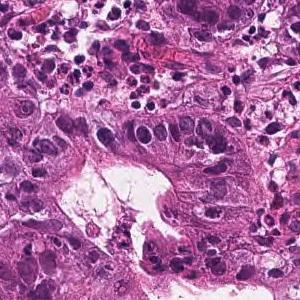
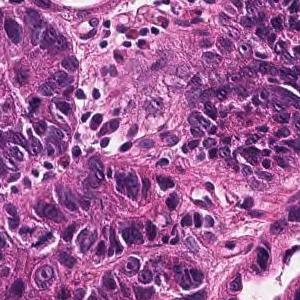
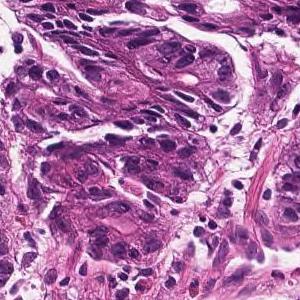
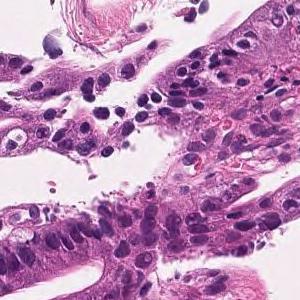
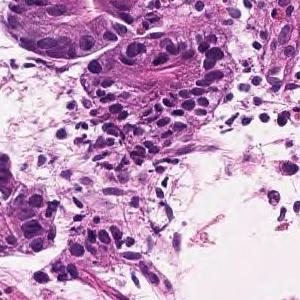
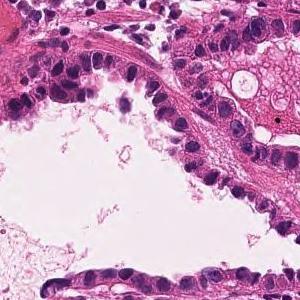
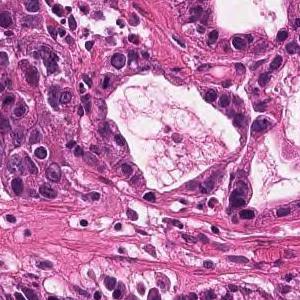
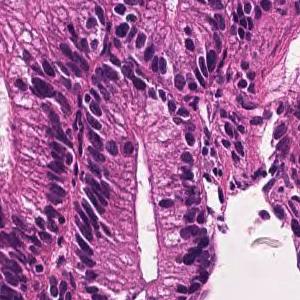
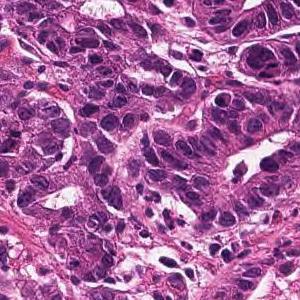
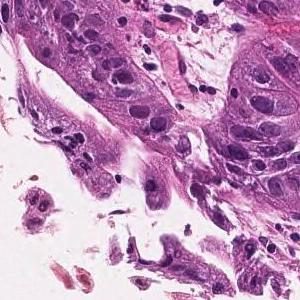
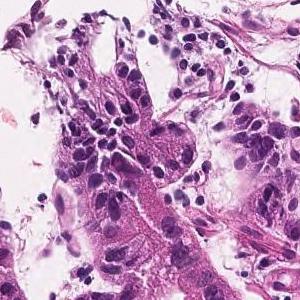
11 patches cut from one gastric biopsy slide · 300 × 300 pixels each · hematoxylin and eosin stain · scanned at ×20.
Diagnostic report for the slide these tiles come from. The report and the diagnosis describe the slide as a whole, so these tiles may not show every feature named and may include non-tumor tissue.
In the superficial epithelium, tumor tissue that invades by forming medium-sized to small, irregular ducts is observed. moderately differentiated tubular adenocarcinoma.
